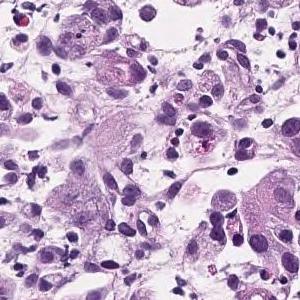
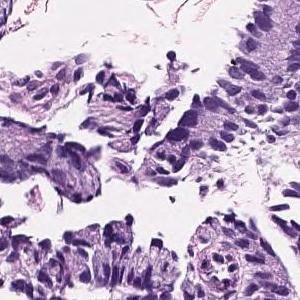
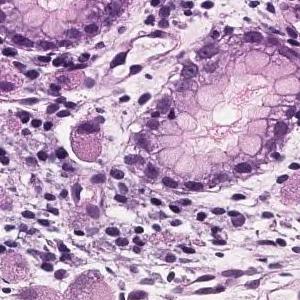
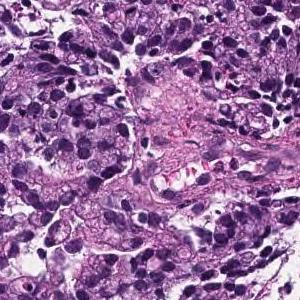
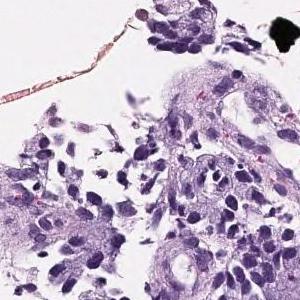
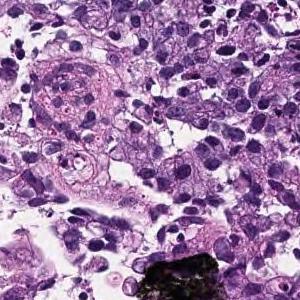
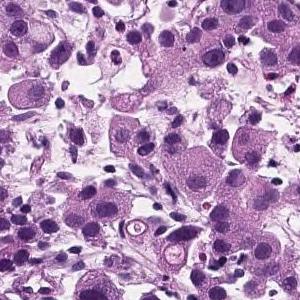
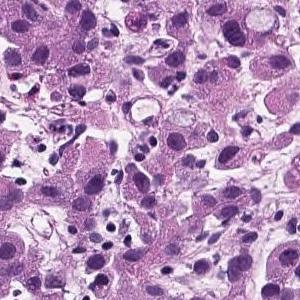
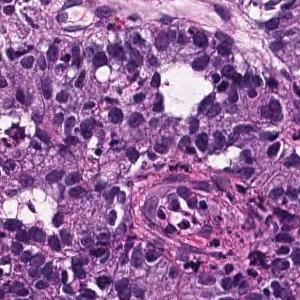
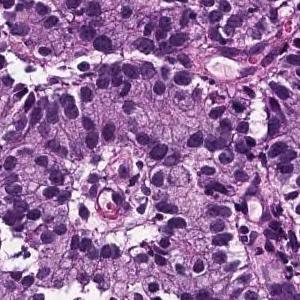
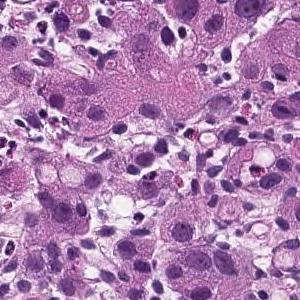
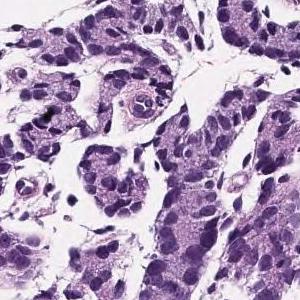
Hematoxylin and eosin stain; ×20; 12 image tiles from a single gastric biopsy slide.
Diagnostic report for the slide these tiles come from. The findings and the diagnosis refer to the entire slide; these tiles show only part of it, possibly with non-tumor tissue, and may not show every feature named.
Tumor tissue infiltrated by irregular fusion of small cord-like structures is found in the superficial epithelium. Poorly differentiated adenocarcinoma, non-solid type
The non-solid type named here is a Japanese Classification of Gastric Carcinoma category.
